13 tiles from the same stomach biopsy slide, each 300 × 300 pixels.
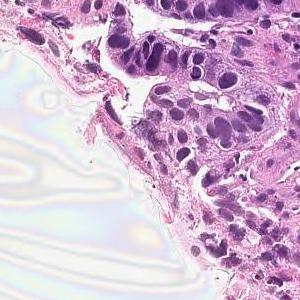
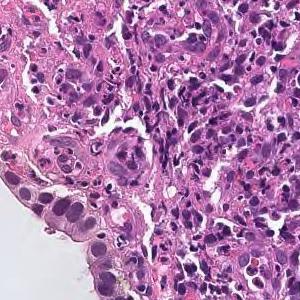
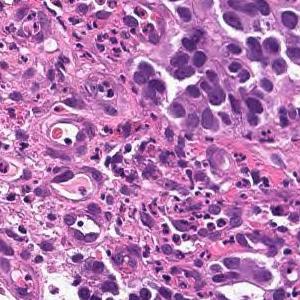
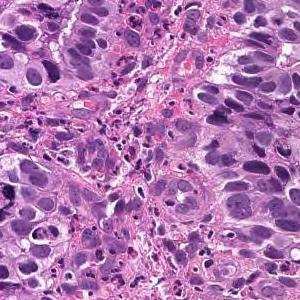
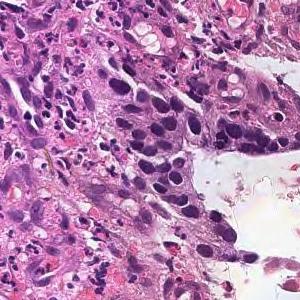
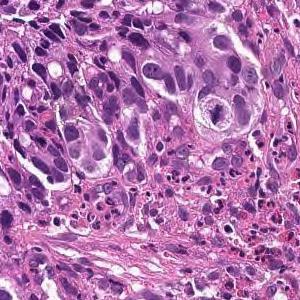
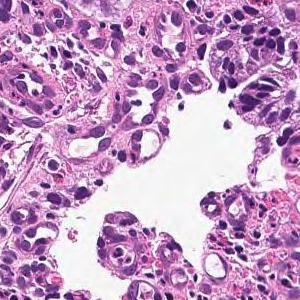
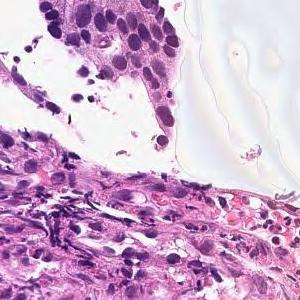
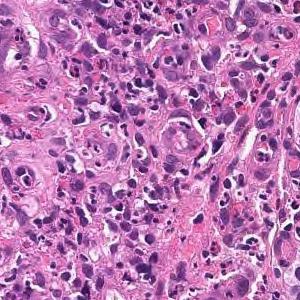
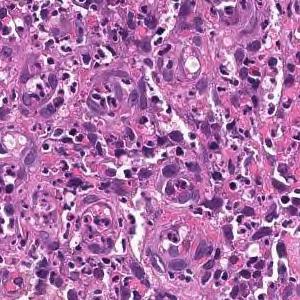
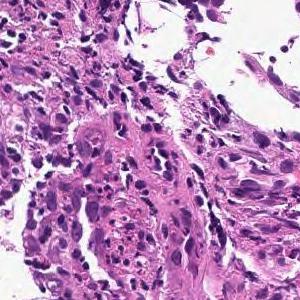
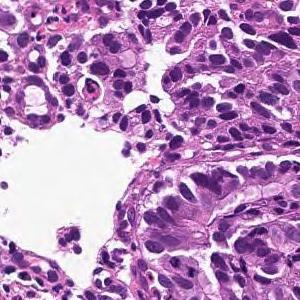
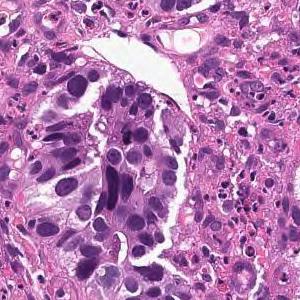
The pathologist's report on the biopsy slide these tiles were taken from. What the report and the diagnosis say applies to the whole slide; these tiles may miss some of the features named and may include tissue that is not tumor.
On the superficial epithelium, tumor tissue consisting of large irregular glandular ducts partially fused and infiltrated is observed. Well to moderately differentiated tubular adenocarcinoma (well differentiated tubular adenocarcinoma, moderately differentiated tubular adenocarcinoma)
Subtype: Well to moderately differentiated tubular adenocarcinoma.
